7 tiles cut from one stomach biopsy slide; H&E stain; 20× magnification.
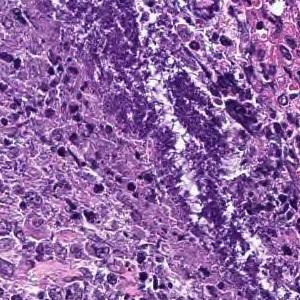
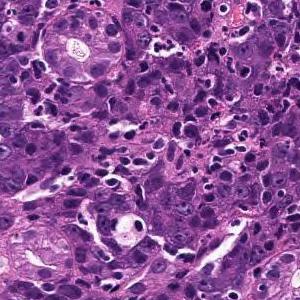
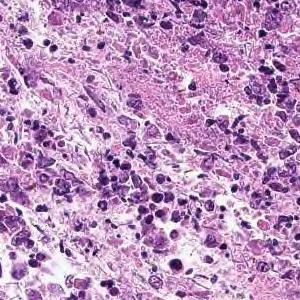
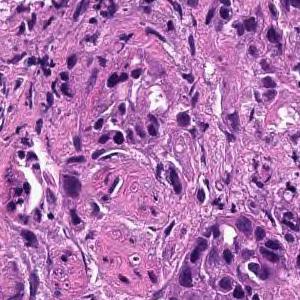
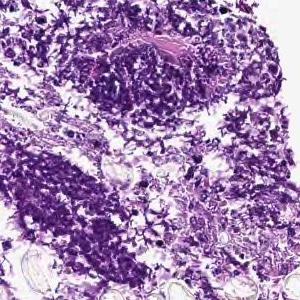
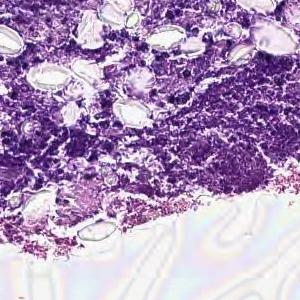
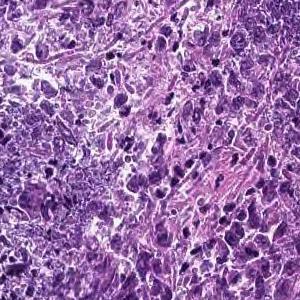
Pathology report for the slide these tiles were cut from. The report and the diagnosis cover the entire slide, so not every feature they name need be visible here, and some tissue shown may not be tumor.
Cancers with polygonal nuclei do not show glandular formation and are densely, in part, cord-like and proliferate. Poorly differentiated adenocarcinoma
Histological subtype: Poorly differentiated adenocarcinoma, non-solid type.
The term "non-solid type" comes from the Japanese Classification of Gastric Carcinoma.
